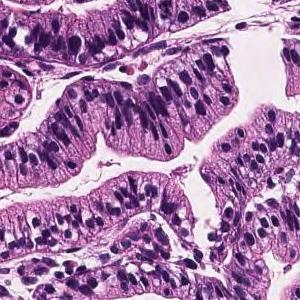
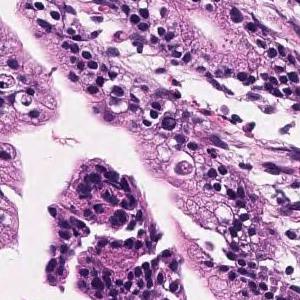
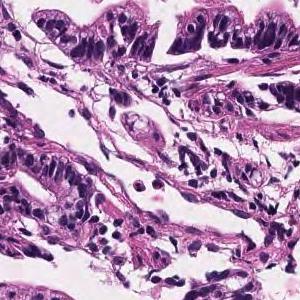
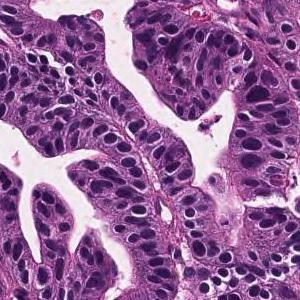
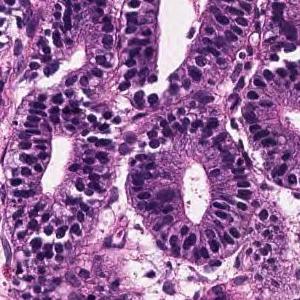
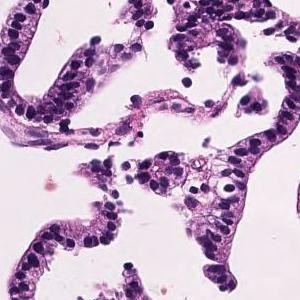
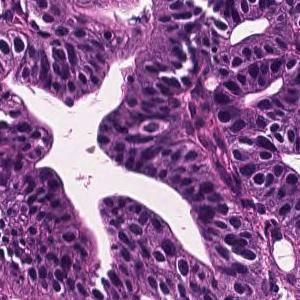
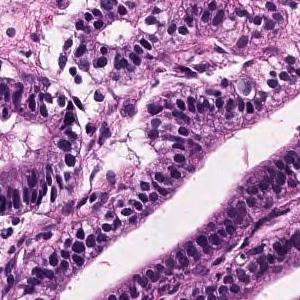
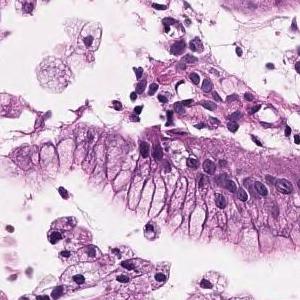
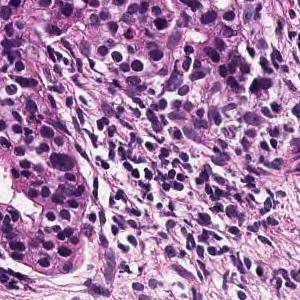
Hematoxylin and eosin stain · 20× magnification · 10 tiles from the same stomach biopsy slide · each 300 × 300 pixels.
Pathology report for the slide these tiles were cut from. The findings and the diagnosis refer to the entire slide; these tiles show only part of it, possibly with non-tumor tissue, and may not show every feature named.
Tumor tissue consisting of large papillary structures or irregular glandular ducts partially fused and infiltrated is observed in the superficial epithelium. Well to moderately differentiated tubular adenocarcinoma.
The dataset labels this slide moderately differentiated tubular adenocarcinoma.
